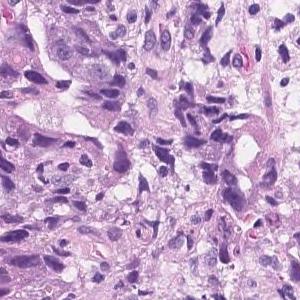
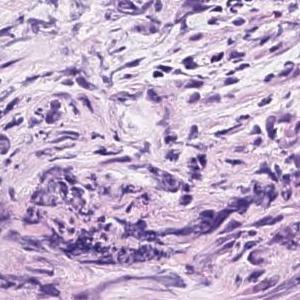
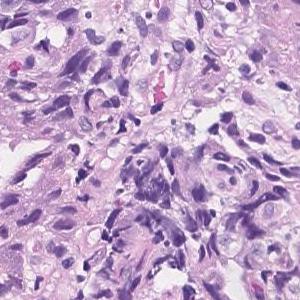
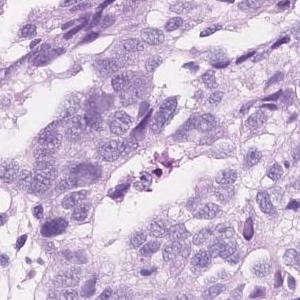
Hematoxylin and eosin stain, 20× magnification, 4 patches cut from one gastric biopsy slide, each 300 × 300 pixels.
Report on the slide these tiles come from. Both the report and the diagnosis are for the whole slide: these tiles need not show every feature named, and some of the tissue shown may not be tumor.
Atypical epithelial cells infiltrating and proliferating diffusely or while forming vesicles is observed. Poorly differentiated adenocarcinoma (poorly differentiated adenocarcinoma, solid type moderately differentiated tubular adenocarcinoma)
Labeled in the dataset as poorly differentiated adenocarcinoma, solid type, a category of the Japanese Classification of Gastric Carcinoma; in the WHO 2019 classification it is tubular adenocarcinoma, poorly differentiated.
